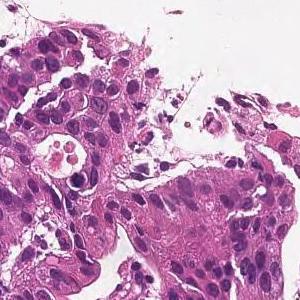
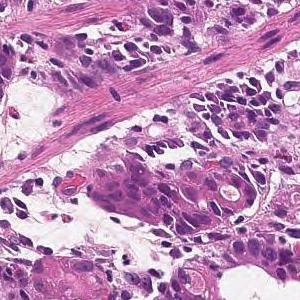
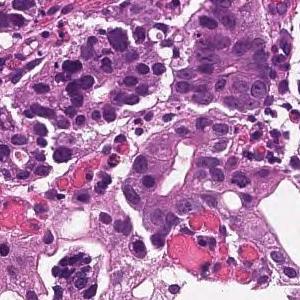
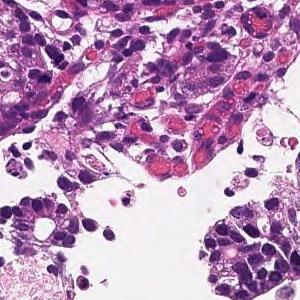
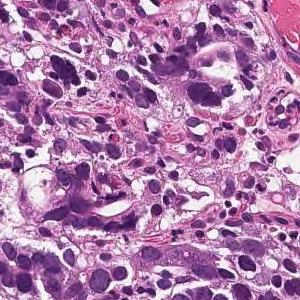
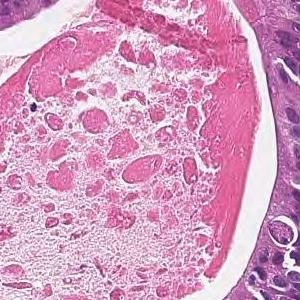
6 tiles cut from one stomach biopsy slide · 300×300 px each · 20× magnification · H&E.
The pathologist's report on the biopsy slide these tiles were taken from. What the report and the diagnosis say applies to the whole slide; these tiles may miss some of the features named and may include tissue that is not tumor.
On the superficial epithelium, tumor tissue is found in which medium-sized irregular gland ducts fuse with each other and infiltrate. moderately differentiated tubular adenocarcinoma
